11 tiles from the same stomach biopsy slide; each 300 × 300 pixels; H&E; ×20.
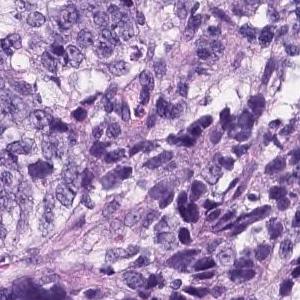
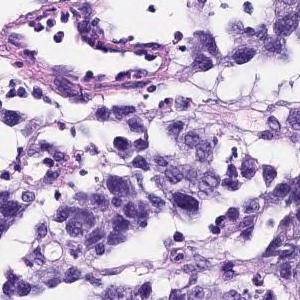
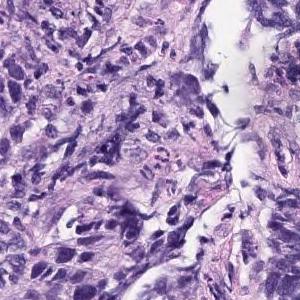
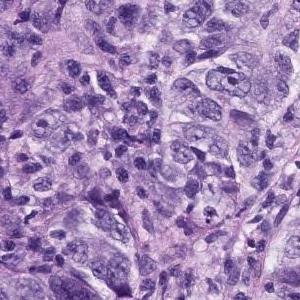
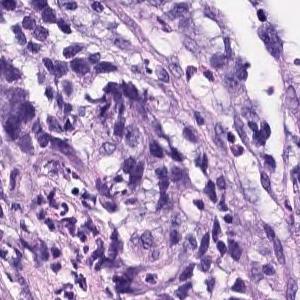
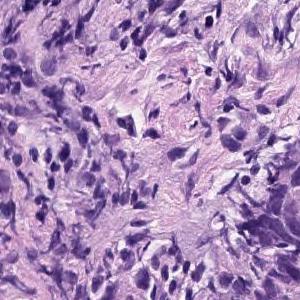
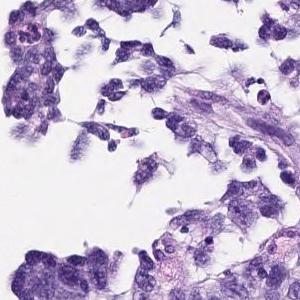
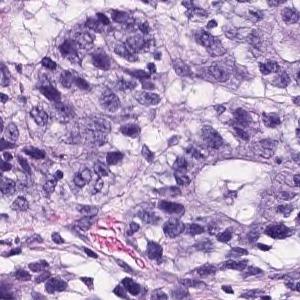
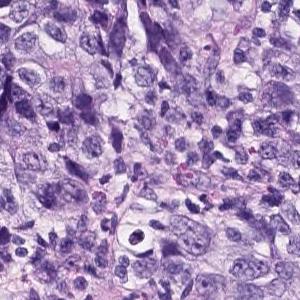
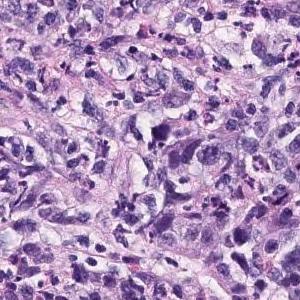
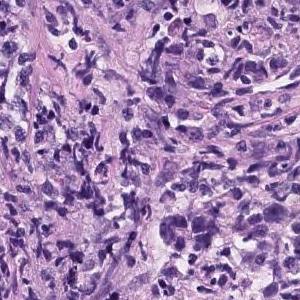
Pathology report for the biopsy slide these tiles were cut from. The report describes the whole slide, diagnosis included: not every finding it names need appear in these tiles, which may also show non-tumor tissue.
The superficial epithelium shows a large sheet-like shape, and some tumor tissue infiltrates with small irregular ducts. Poorly differentiated adenocarcinoma, solid-type
Histological subtype: Poorly differentiated adenocarcinoma, solid type. This name comes from the Japanese Classification of Gastric Carcinoma; the WHO 2019 classification calls it tubular adenocarcinoma, poorly differentiated.
